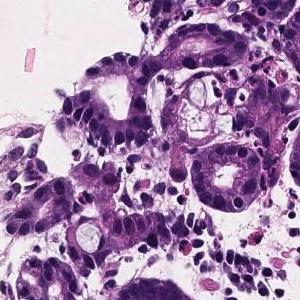
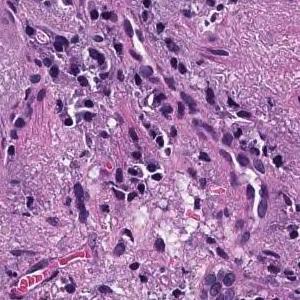
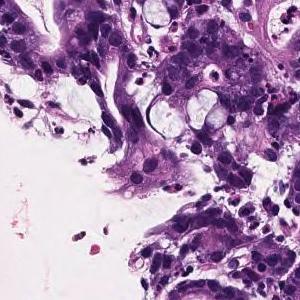
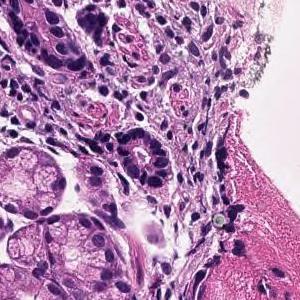
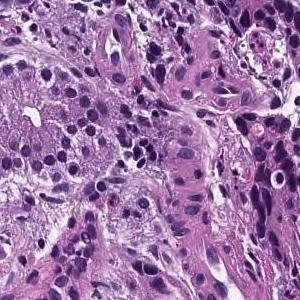
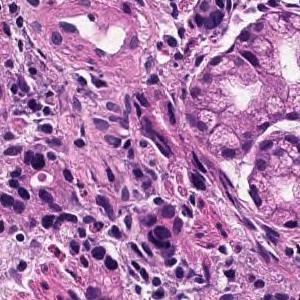
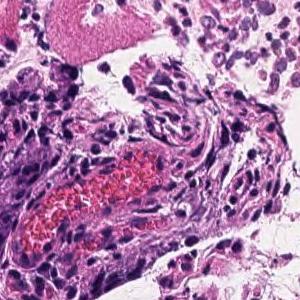
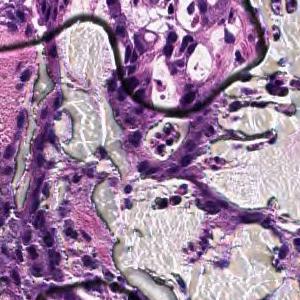
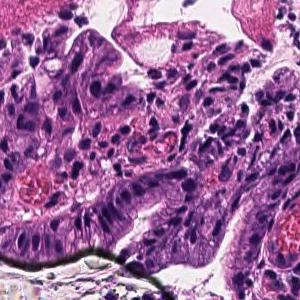
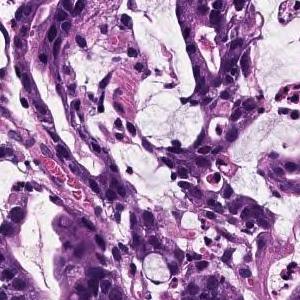
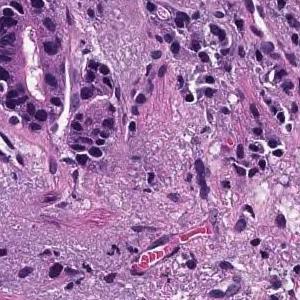
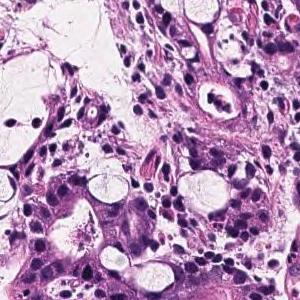
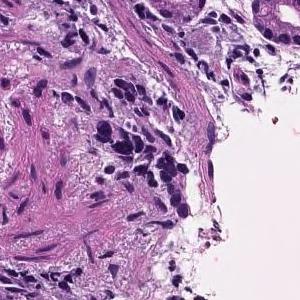
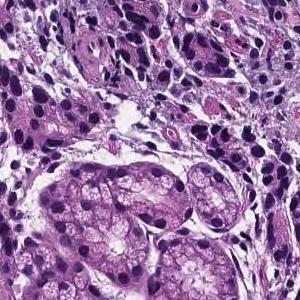
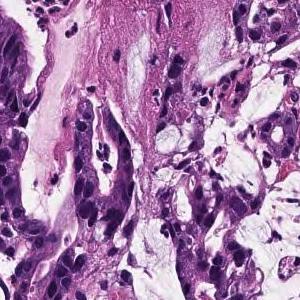
15 tiles from the same stomach biopsy slide · each 300 × 300 pixels · scanned at ×20.
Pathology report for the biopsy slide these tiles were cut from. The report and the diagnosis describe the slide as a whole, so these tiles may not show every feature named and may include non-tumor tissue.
In the superficial epithelium, tumor tissue is found in which medium-sized to small, irregular glandular ducts are partially fused and infiltrated. moderately differentiated tubular adenocarcinoma
